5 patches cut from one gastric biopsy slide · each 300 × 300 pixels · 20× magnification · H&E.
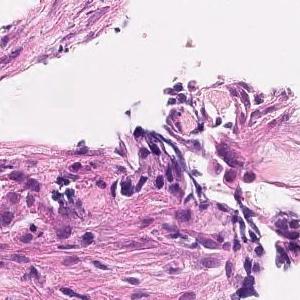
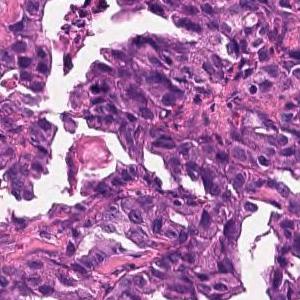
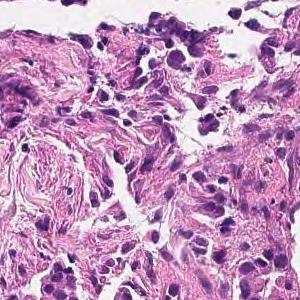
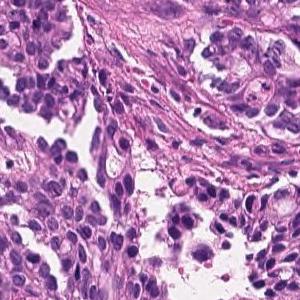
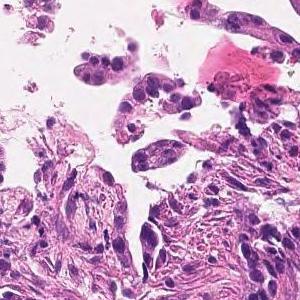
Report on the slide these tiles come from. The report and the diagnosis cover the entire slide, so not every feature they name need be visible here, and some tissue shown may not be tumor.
On the superficial epithelium, tumor tissue consisting of images of small to medium-sized and irregular tubules infiltrating with irregular fusion is observed. moderately differentiated tubular adenocarcinoma
